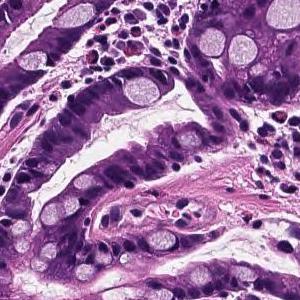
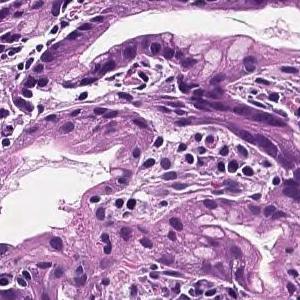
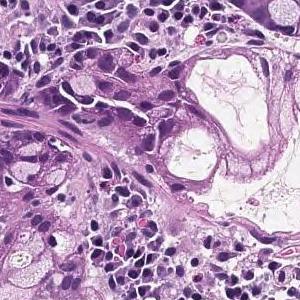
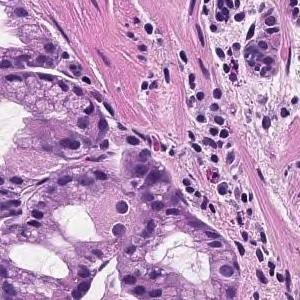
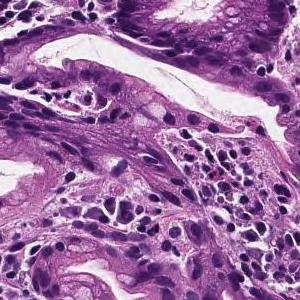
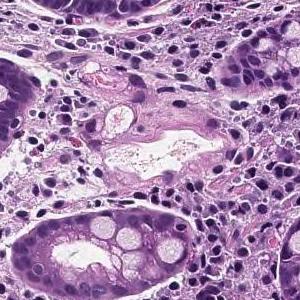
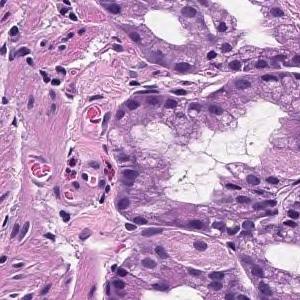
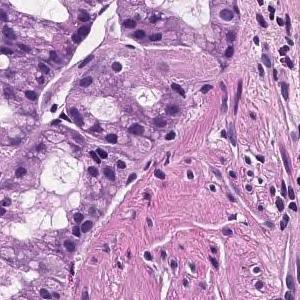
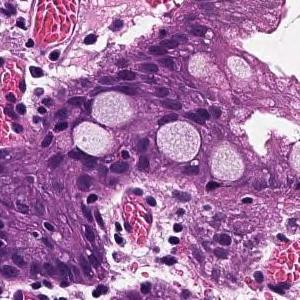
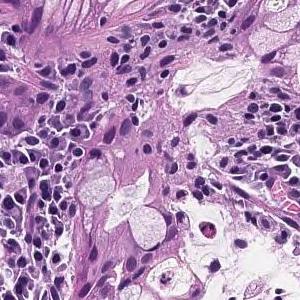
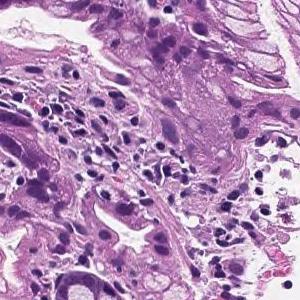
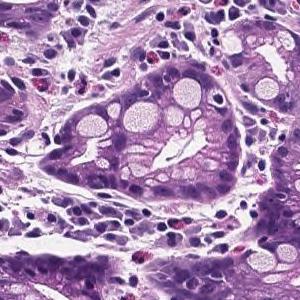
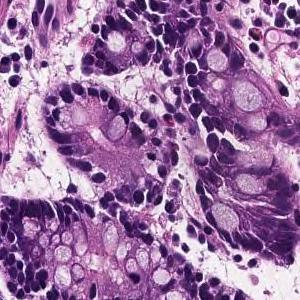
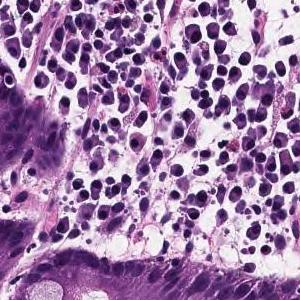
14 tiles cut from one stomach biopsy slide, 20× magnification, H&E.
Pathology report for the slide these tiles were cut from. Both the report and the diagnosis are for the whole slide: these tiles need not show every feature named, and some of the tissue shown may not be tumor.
From the superficial epithelium to the muscularis mucosae, tumor tissue consisting of medium-sized and irregular glandular ducts infiltrating is observed. Well differentiated tubular adenocarcinoma
